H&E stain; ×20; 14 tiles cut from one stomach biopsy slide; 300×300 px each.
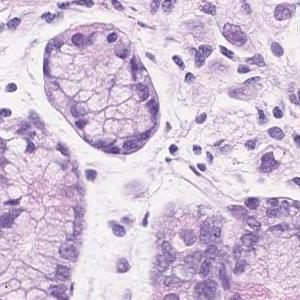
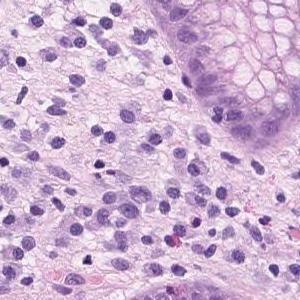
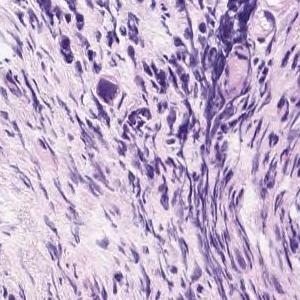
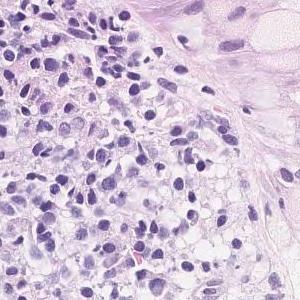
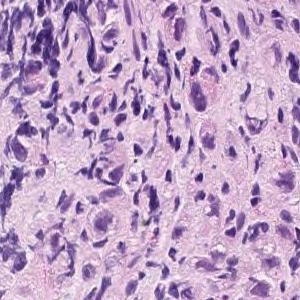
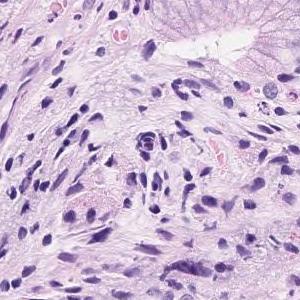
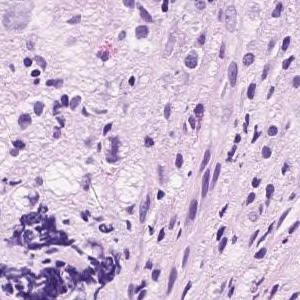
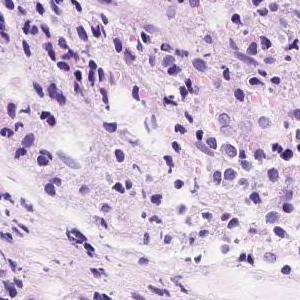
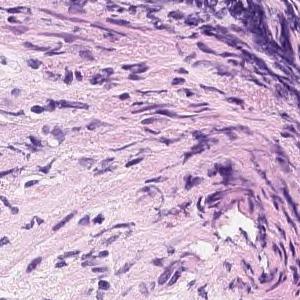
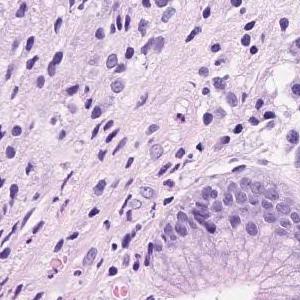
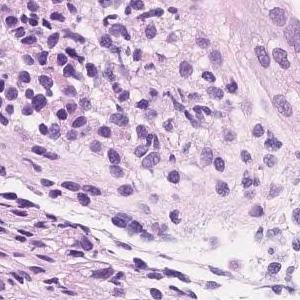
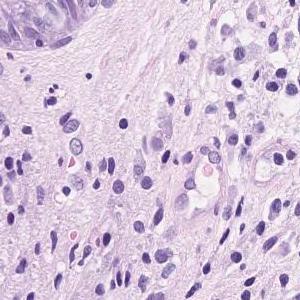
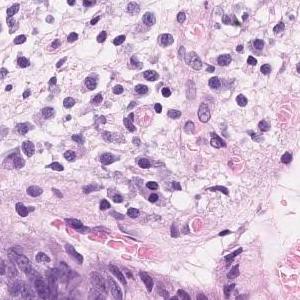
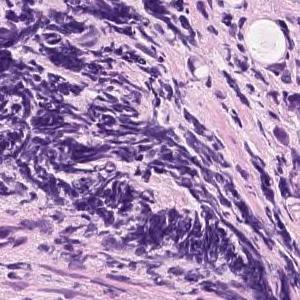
The pathologist's report on the biopsy slide these tiles were taken from. The report describes the whole slide, diagnosis included: not every finding it names need appear in these tiles, which may also show non-tumor tissue.
Group 5, Adenocarcinoma. Poorly differentiated adenocarcinoma, non-solid type
"Non-solid type" is a category of the Japanese Classification of Gastric Carcinoma.
